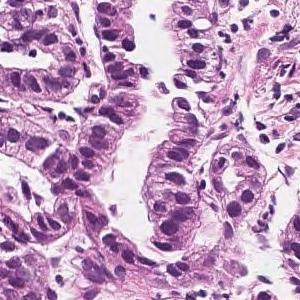
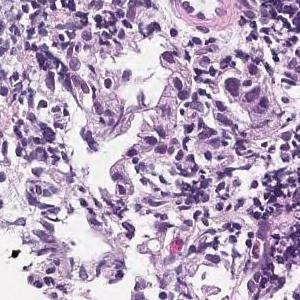
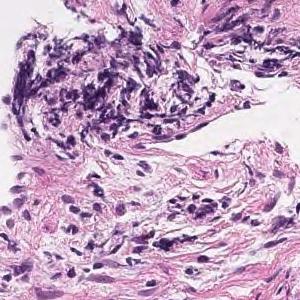
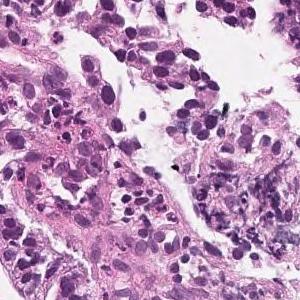
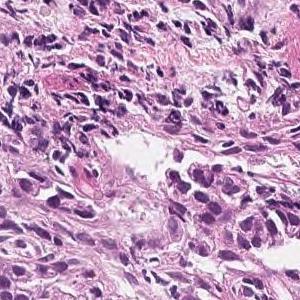
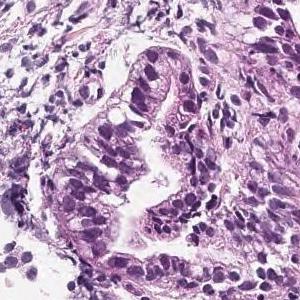
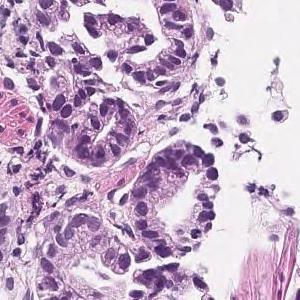
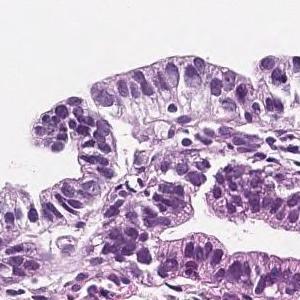
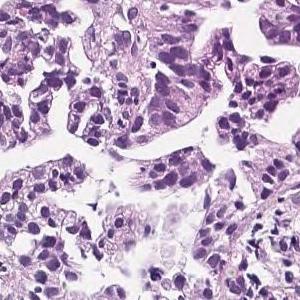
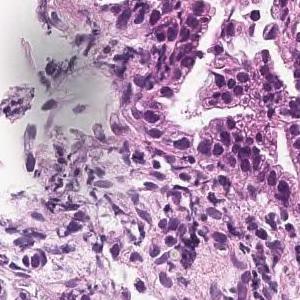
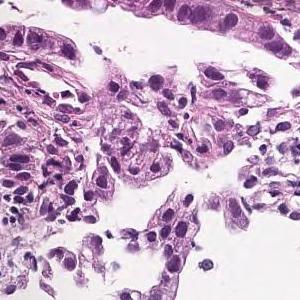
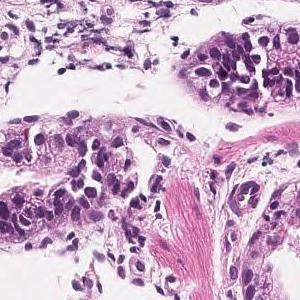
12 tiles from the same stomach biopsy slide, 300 × 300 pixels each, H&E.
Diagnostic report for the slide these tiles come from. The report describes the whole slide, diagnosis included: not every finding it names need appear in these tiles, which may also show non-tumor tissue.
In the superficial epithelium, tumor tissue that invades by forming medium-sized to small, irregular ducts is observed. moderately differentiated tubular adenocarcinoma.
